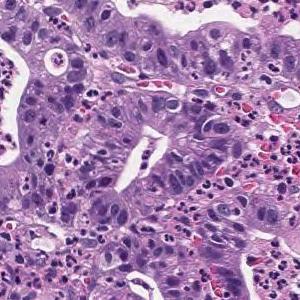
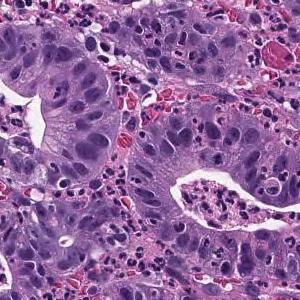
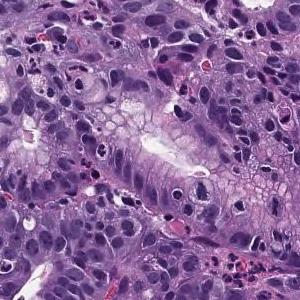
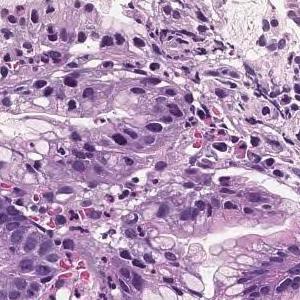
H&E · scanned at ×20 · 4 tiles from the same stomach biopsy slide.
Report on the slide these tiles come from. What the report and the diagnosis say applies to the whole slide; these tiles may miss some of the features named and may include tissue that is not tumor.
In the superficial epithelium, tumor tissue that invades by forming medium-sized to small, irregular ducts is observed. Well differentiated tubular adenocarcinoma.
